Hematoxylin and eosin stain · scanned at ×20 · 16 tiles cut from one stomach biopsy slide · 300 × 300 pixels each.
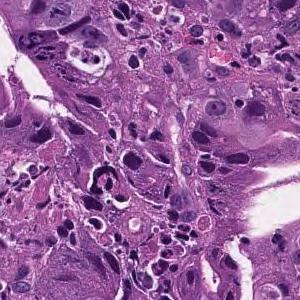
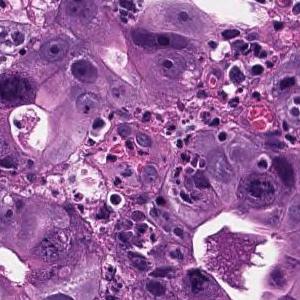
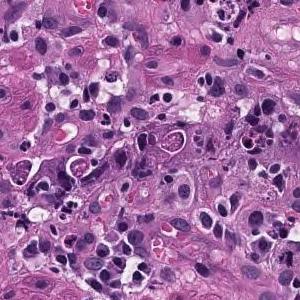
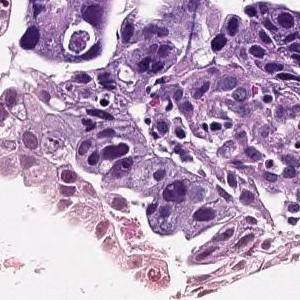
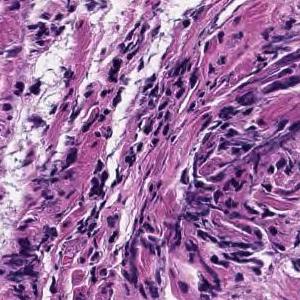
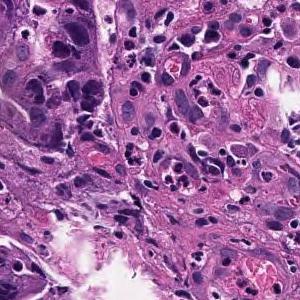
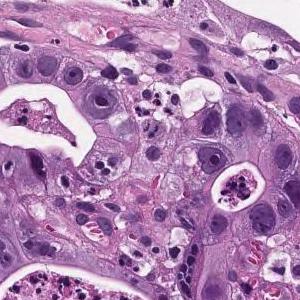
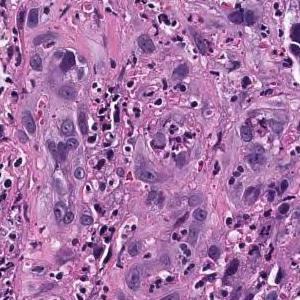
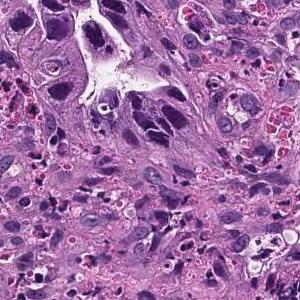
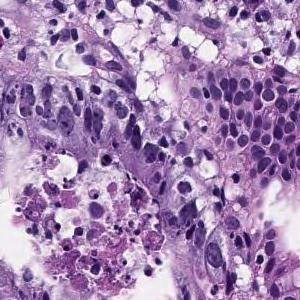
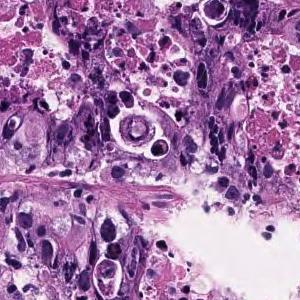
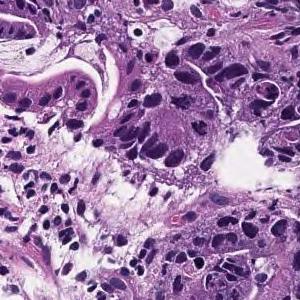
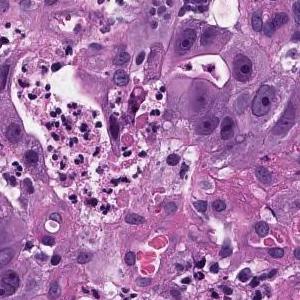
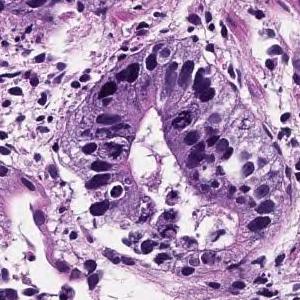
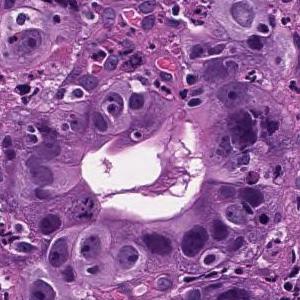
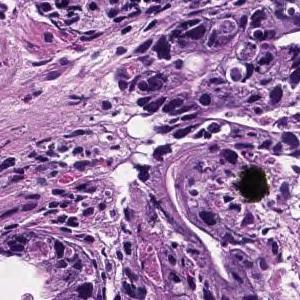
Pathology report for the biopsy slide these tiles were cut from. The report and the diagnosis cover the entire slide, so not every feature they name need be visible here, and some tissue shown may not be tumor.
In the superficial epithelium, medium to small irregular gland ducts are formed, and in some cases, the ducts are fused to show solid alveolar lesions and infiltrating tumor tissue is observed. Moderately to poorly differentiated adenocarcinoma
